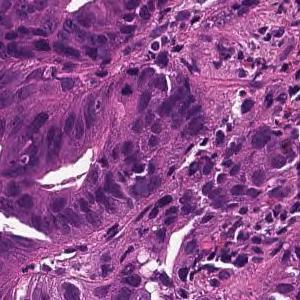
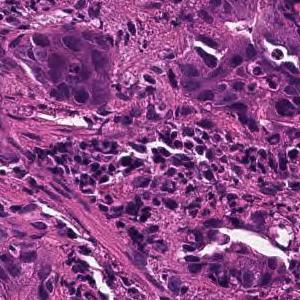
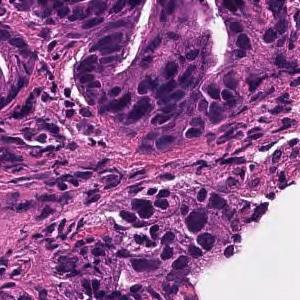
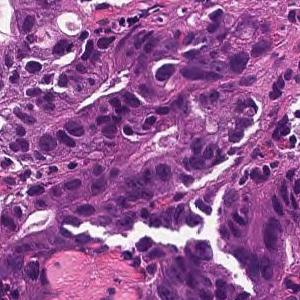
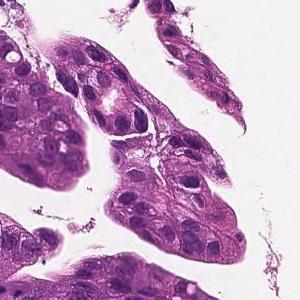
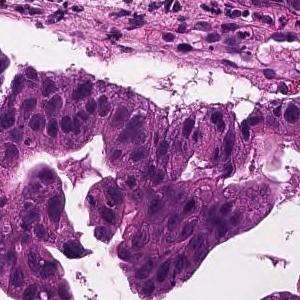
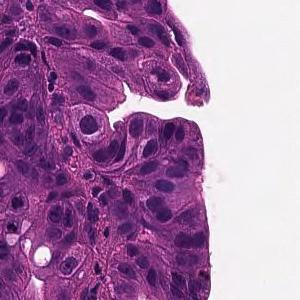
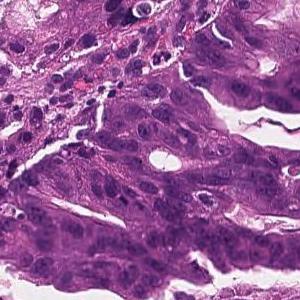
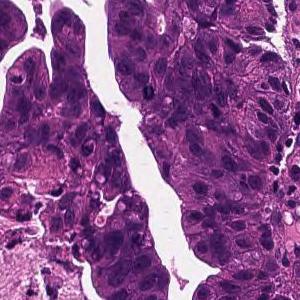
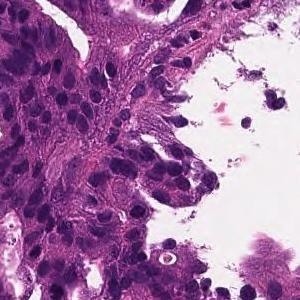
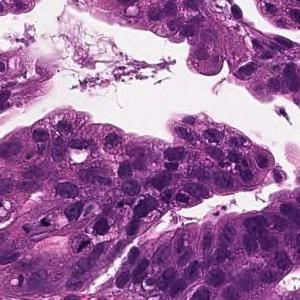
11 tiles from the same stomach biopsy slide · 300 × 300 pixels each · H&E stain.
Report on the slide these tiles come from. What the report and the diagnosis say applies to the whole slide; these tiles may miss some of the features named and may include tissue that is not tumor.
On the superficial epithelium, tumor tissue is found in which medium-sized irregular gland ducts fuse with each other and infiltrate. moderately differentiated tubular adenocarcinoma
